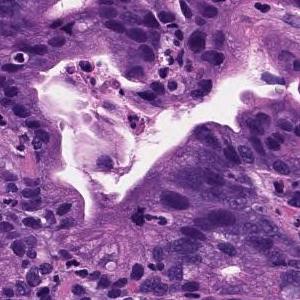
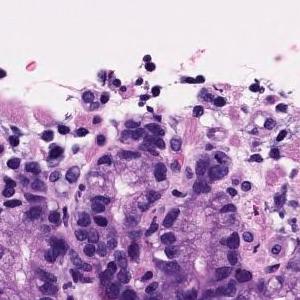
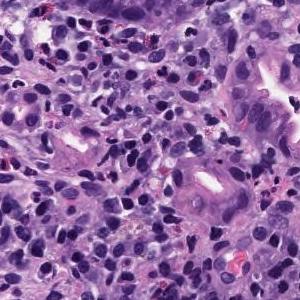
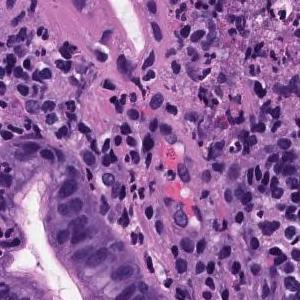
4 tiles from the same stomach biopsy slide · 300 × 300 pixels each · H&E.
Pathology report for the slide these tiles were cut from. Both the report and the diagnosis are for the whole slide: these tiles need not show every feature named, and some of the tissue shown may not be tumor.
Medium to small, irregular glandular ducts are formed in the superficial epithelium, and in some cases, the glandular ducts are fused to show solid alveolar lesions and infiltrating tumor tissue is observed. Moderately to poorly differentiated adenocarcinoma.
